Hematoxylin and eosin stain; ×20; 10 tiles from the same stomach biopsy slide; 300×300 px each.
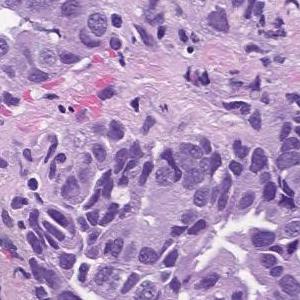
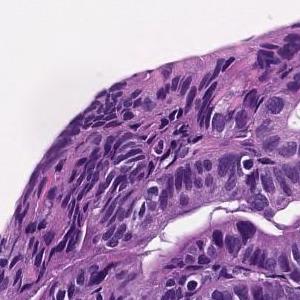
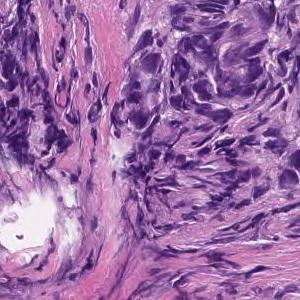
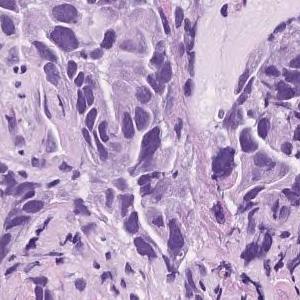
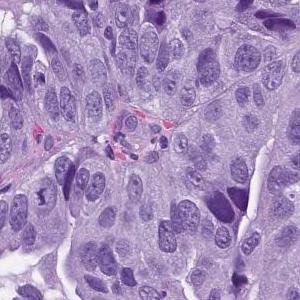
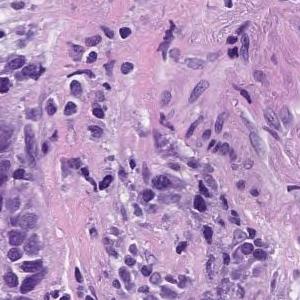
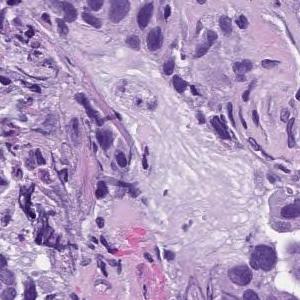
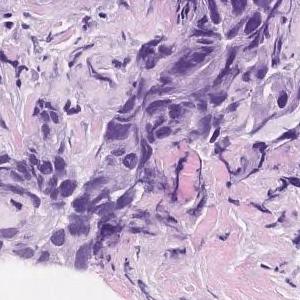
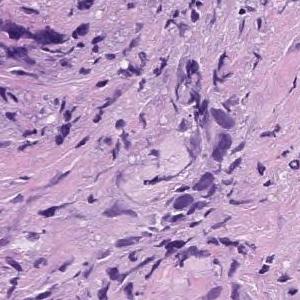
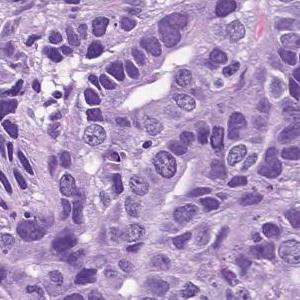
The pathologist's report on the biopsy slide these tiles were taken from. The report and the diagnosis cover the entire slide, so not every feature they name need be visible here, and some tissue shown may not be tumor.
In the superficial epithelium, tumor tissue that invades by forming medium-sized to small, irregular ducts is observed. moderately differentiated tubular adenocarcinoma.
